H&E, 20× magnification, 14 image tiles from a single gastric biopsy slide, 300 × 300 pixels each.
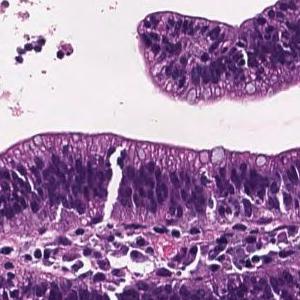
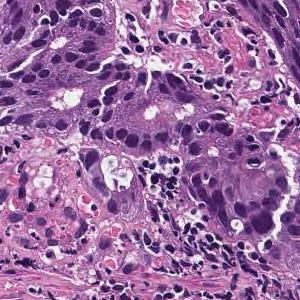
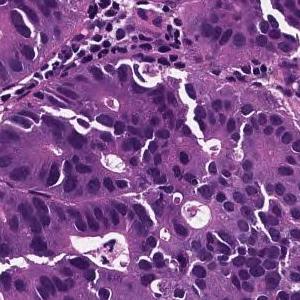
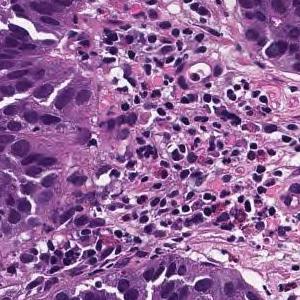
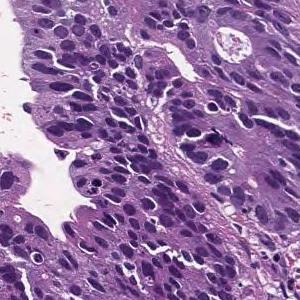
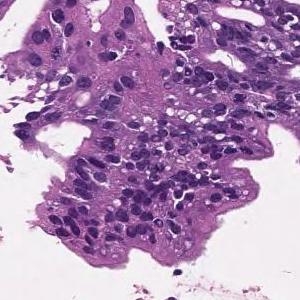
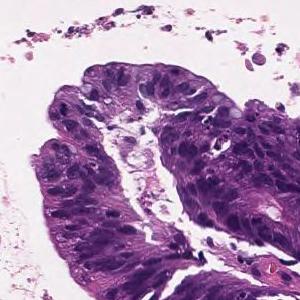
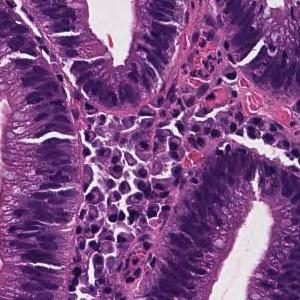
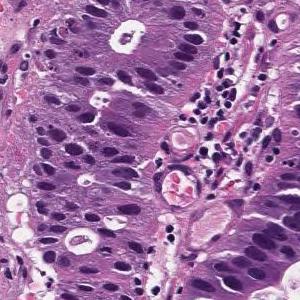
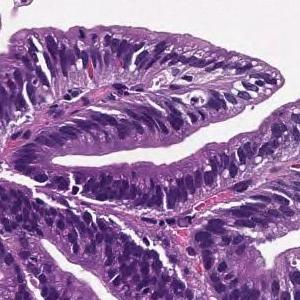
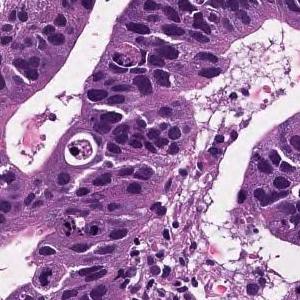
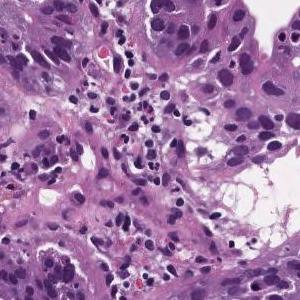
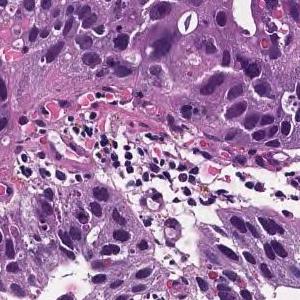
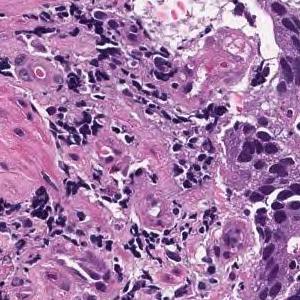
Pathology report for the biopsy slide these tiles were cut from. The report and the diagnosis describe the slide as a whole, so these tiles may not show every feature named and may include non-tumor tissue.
Tumor cells are large, highly columnar, large club-shaped nuclei, and are associated with chromatin aggregation. Papillary adenocarcinoma.
